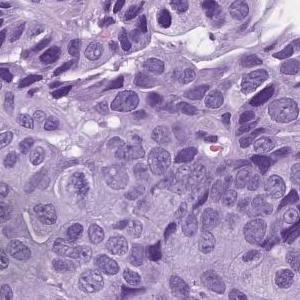
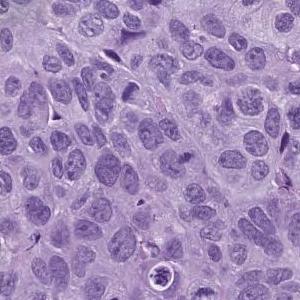
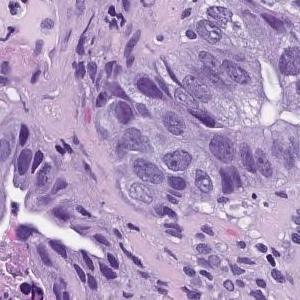
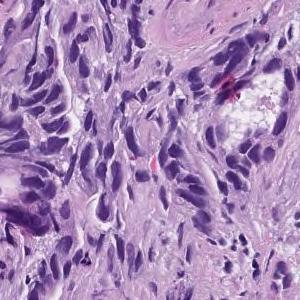
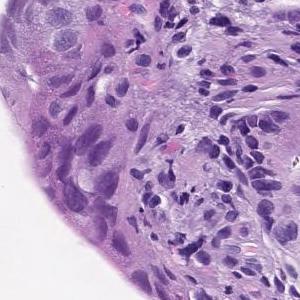
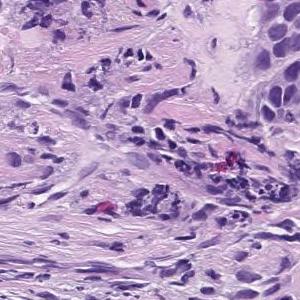
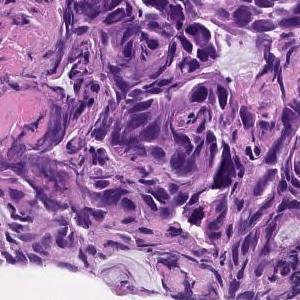
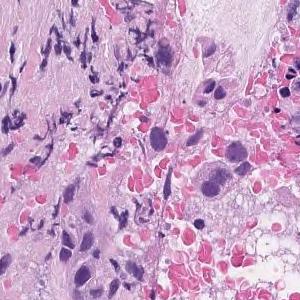
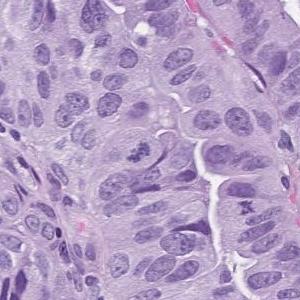
H&E; 9 tiles cut from one stomach biopsy slide; each 300 × 300 pixels.
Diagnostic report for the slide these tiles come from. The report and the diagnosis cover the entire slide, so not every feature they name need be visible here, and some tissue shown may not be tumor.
In the superficial epithelium, tumor tissue that invades by forming medium-sized to small, irregular ducts is observed. moderately differentiated tubular adenocarcinoma.
